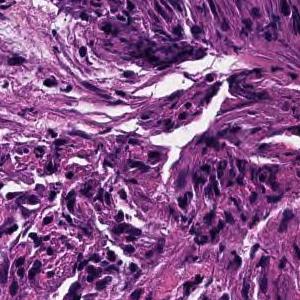
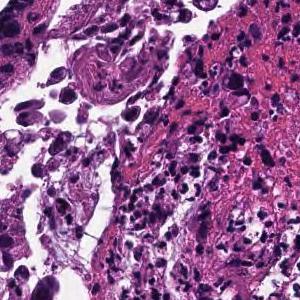
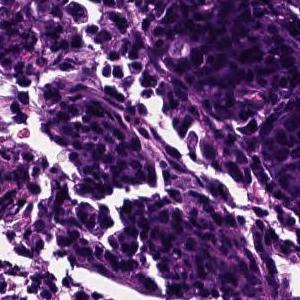
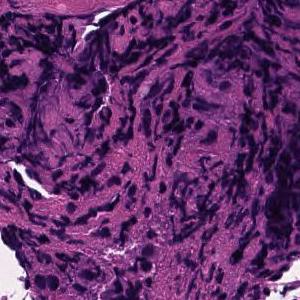
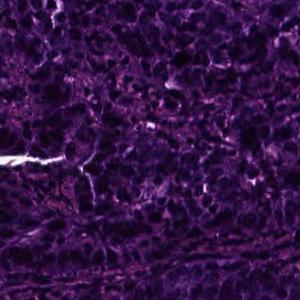
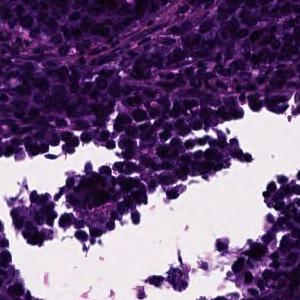
Scanned at ×20, 6 image tiles from a single gastric biopsy slide, 300 × 300 pixels each.
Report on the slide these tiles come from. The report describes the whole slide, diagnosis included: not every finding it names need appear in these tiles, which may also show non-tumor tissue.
In the superficial epithelium, tumor tissue that invades by forming medium-sized to small, irregular ducts is observed. moderately differentiated tubular adenocarcinoma.
